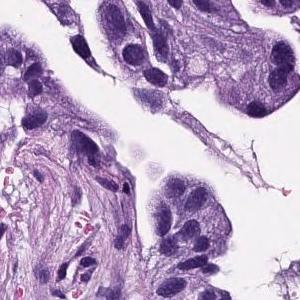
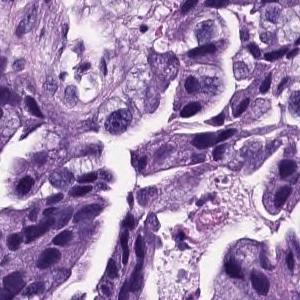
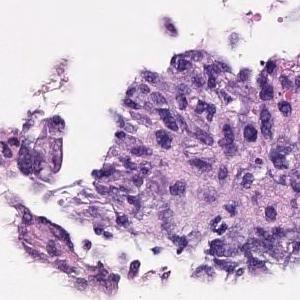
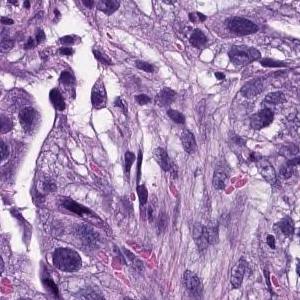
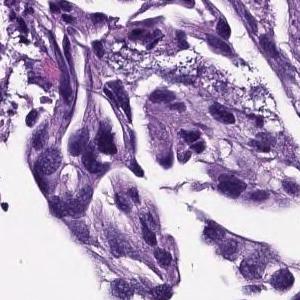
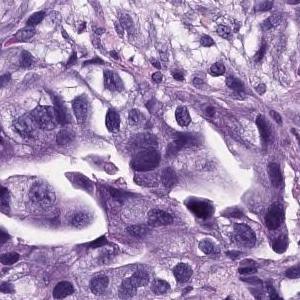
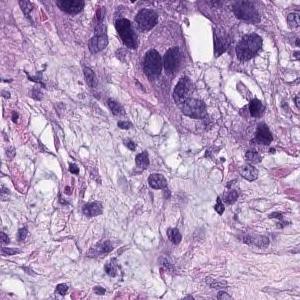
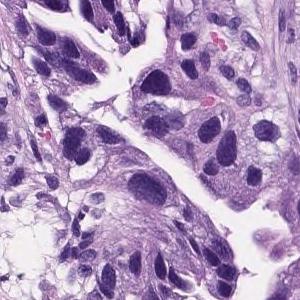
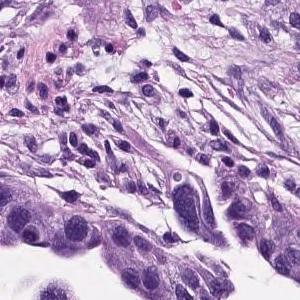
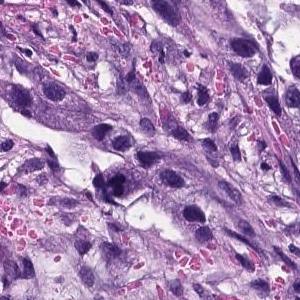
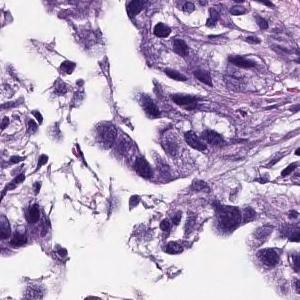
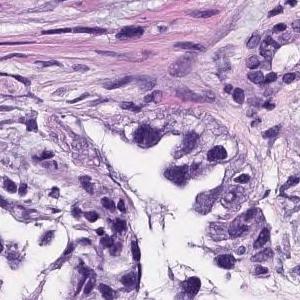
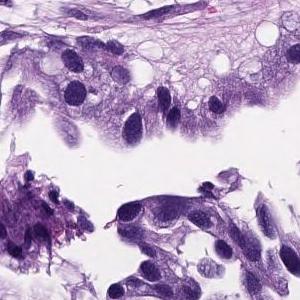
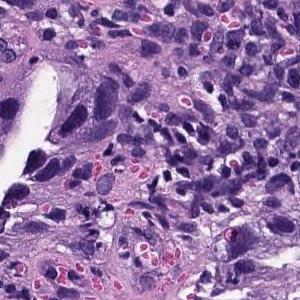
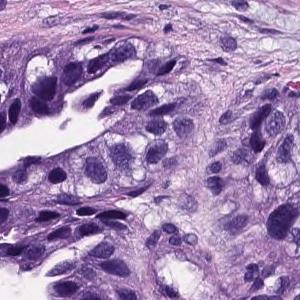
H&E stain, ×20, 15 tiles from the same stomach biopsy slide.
Diagnostic report for the slide these tiles come from. The findings and the diagnosis refer to the entire slide; these tiles show only part of it, possibly with non-tumor tissue, and may not show every feature named.
gastric mucosal tissue with atypical glandular proliferation arranged in tubules and acini. The tumor cells showed hyperchromatic nuclei, high N/C ratio and loss of polarity. Tubular adenocarcinoma of stomach, moderately differentiated.
Histological subtype: Moderately differentiated tubular adenocarcinoma.
